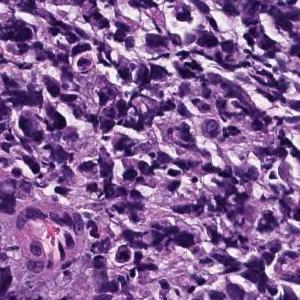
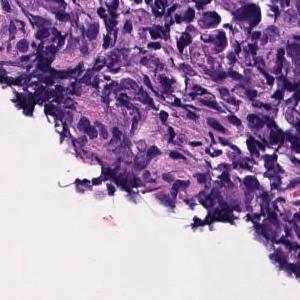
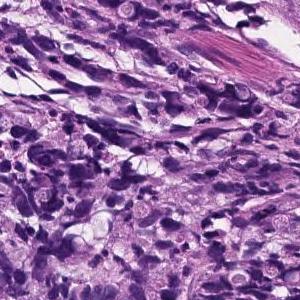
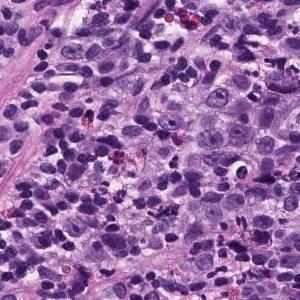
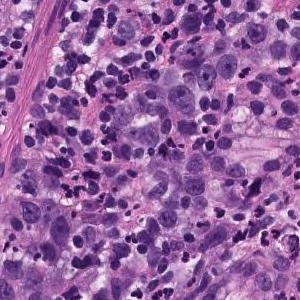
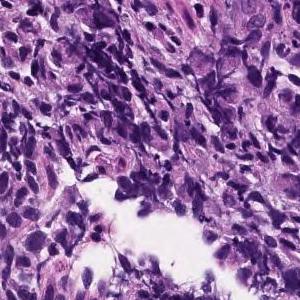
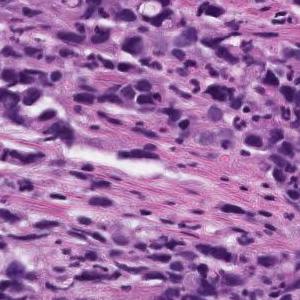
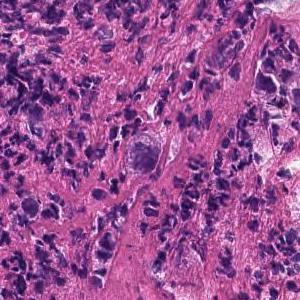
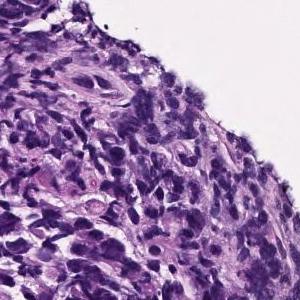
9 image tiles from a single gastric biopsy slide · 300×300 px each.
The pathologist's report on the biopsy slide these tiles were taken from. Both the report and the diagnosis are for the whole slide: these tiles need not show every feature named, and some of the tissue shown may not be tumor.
Poorly differentiated, solid adenocarcinoma (poorly differentiated adenocarcinoma, solid type) with tumor tissue diffusely infiltrated with atypical epithelial cells
Tumor subtype: poorly differentiated adenocarcinoma, solid type, a category of the Japanese Classification of Gastric Carcinoma; in the WHO 2019 classification it is tubular adenocarcinoma, poorly differentiated.
